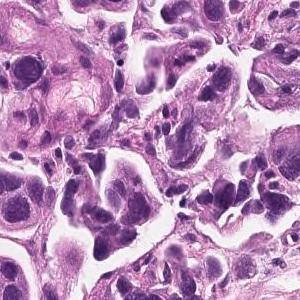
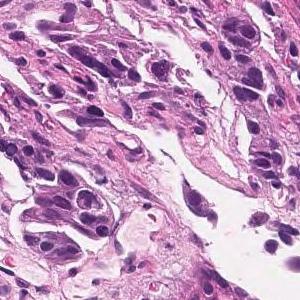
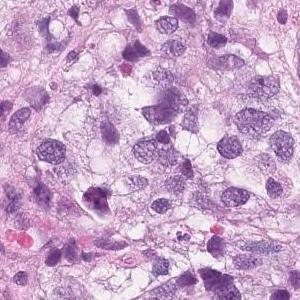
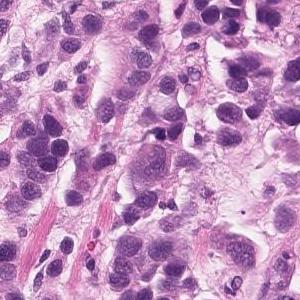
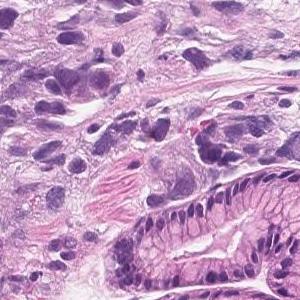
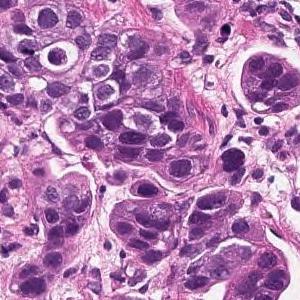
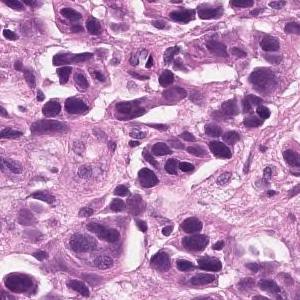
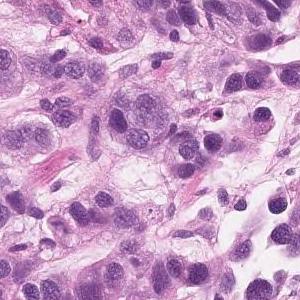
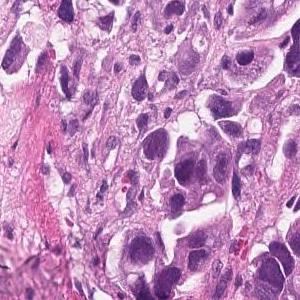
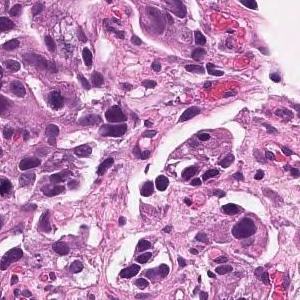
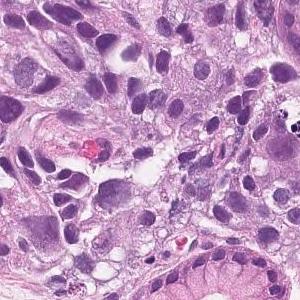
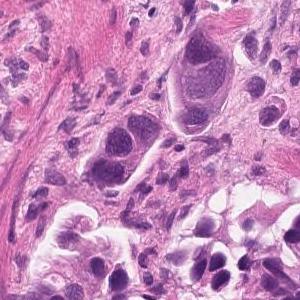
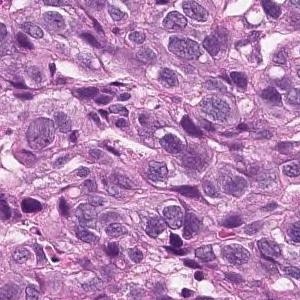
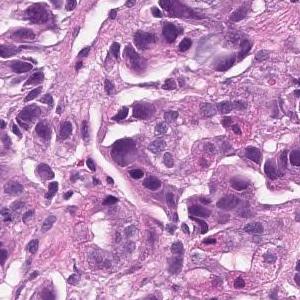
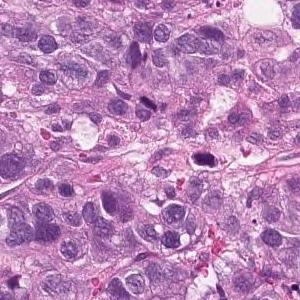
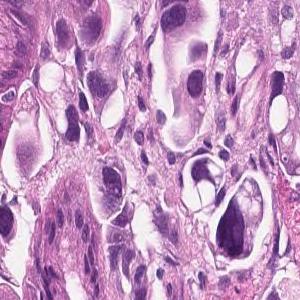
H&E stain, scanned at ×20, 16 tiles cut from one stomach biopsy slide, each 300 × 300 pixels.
Pathology report for the biopsy slide these tiles were cut from. The report and the diagnosis cover the entire slide, so not every feature they name need be visible here, and some tissue shown may not be tumor.
Tumor tissue that infiltrates the epithelium in an alveolar manner. Poorly differentiated adenocarcinoma, solid-type
Histological subtype: Poorly differentiated adenocarcinoma, solid type (Japanese Classification of Gastric Carcinoma). The WHO 2019 equivalent is tubular adenocarcinoma, poorly differentiated.
